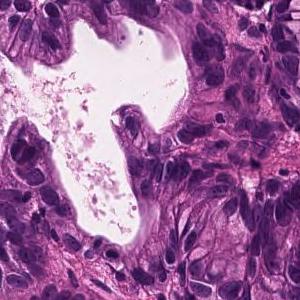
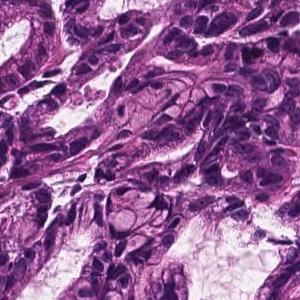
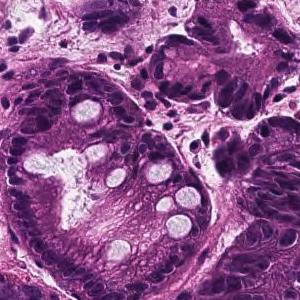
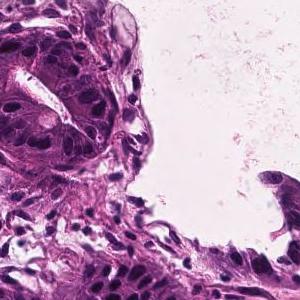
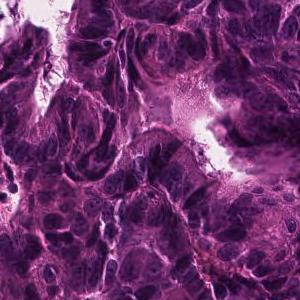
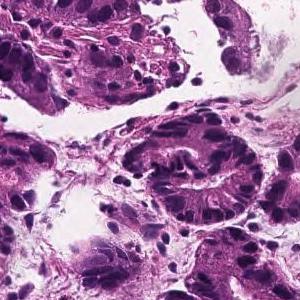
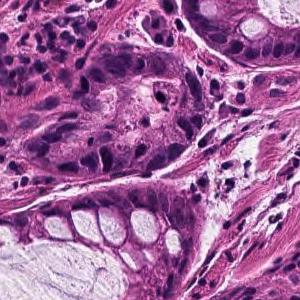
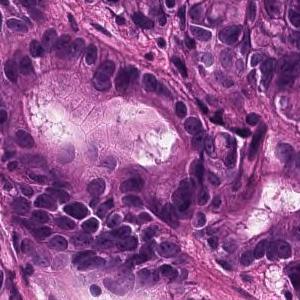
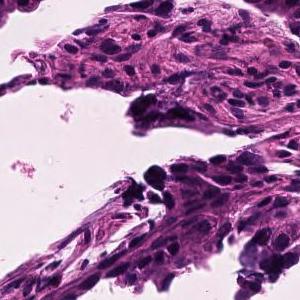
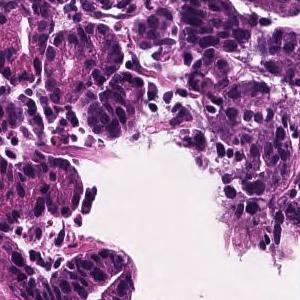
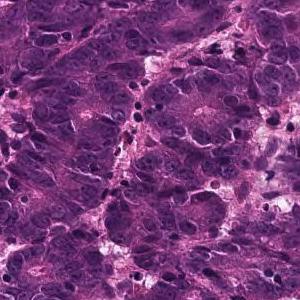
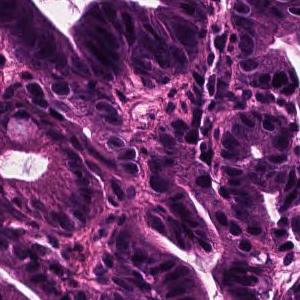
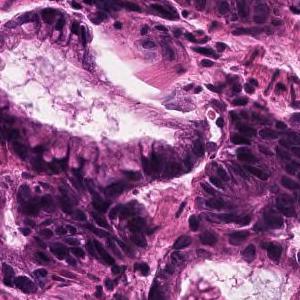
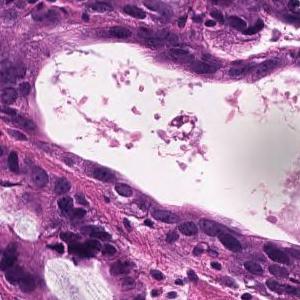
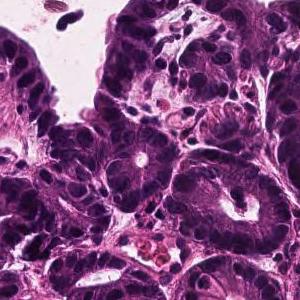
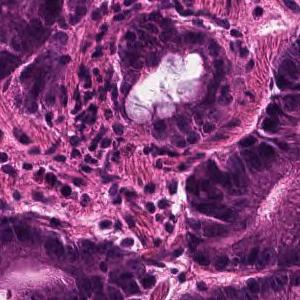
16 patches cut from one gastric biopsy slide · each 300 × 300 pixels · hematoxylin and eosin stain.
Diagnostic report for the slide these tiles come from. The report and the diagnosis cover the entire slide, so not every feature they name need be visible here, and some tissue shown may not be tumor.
In the superficial epithelium, tumor tissue that invades by forming medium-sized to small, irregular ducts is observed. Well differentiated tubular adenocarcinoma.
